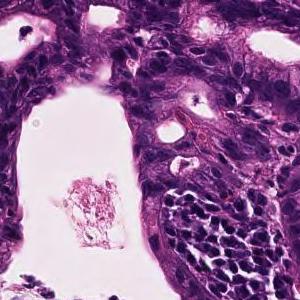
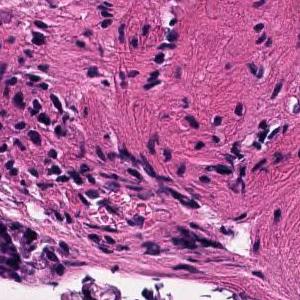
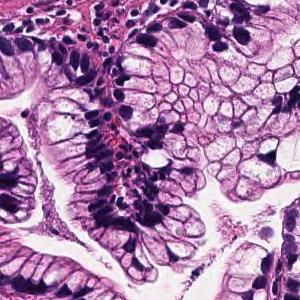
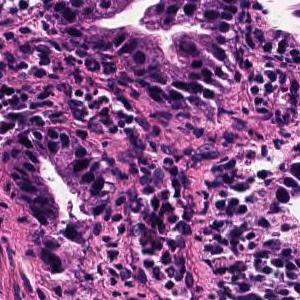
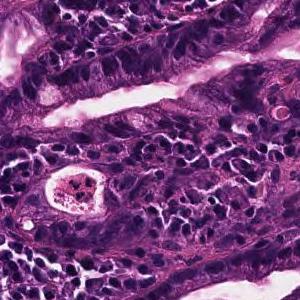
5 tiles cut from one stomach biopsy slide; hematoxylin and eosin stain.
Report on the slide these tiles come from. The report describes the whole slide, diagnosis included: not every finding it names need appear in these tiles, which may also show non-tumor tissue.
Tumor cells are large, highly columnar, large club-shaped nuclei, and are associated with chromatin aggregation. Papillary adenocarcinoma.
